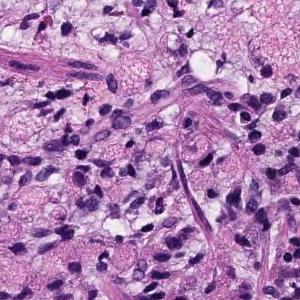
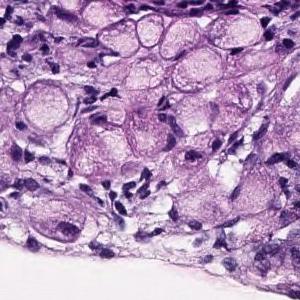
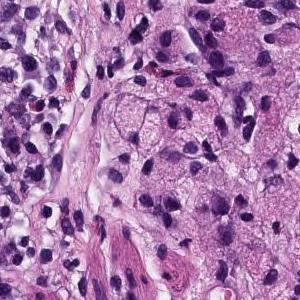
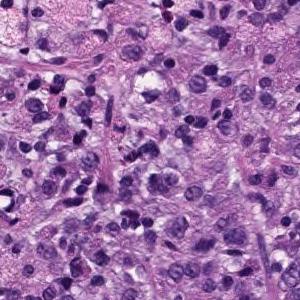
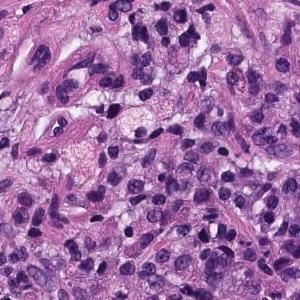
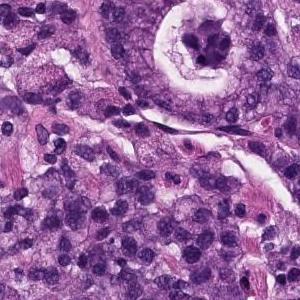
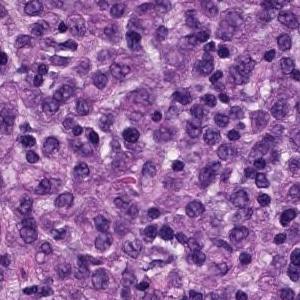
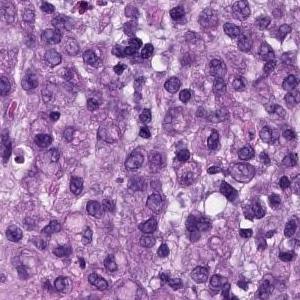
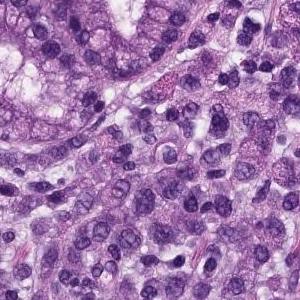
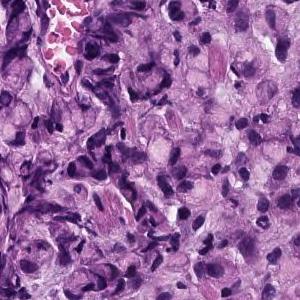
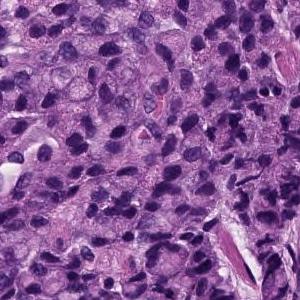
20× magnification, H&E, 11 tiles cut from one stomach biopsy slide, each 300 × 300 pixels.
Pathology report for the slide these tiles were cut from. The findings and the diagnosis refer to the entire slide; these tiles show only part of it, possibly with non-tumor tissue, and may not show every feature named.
The superficial epithelium shows a large sheet-like shape, and some tumor tissue infiltrates with small irregular ducts. Poorly differentiated adenocarcinoma, solid-type
Tumor subtype: poorly differentiated adenocarcinoma, solid type (Japanese Classification of Gastric Carcinoma). The WHO 2019 equivalent is tubular adenocarcinoma, poorly differentiated.
